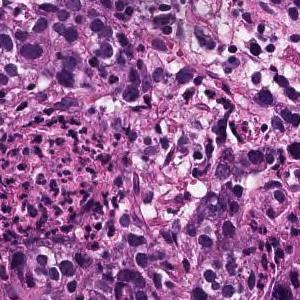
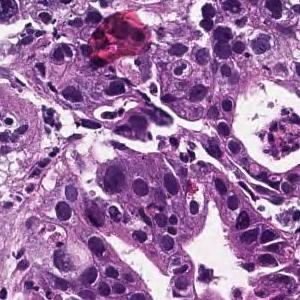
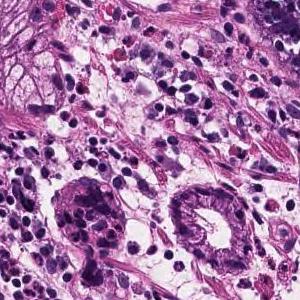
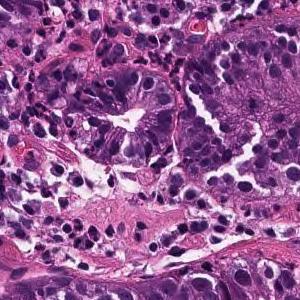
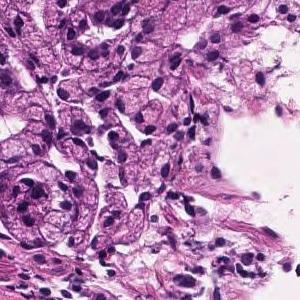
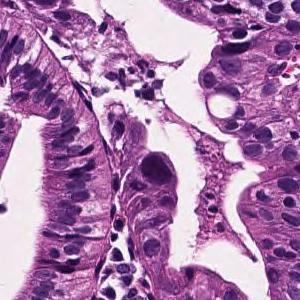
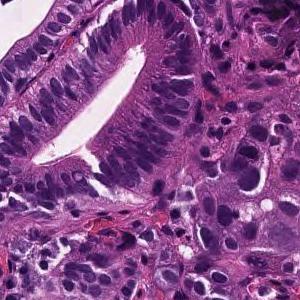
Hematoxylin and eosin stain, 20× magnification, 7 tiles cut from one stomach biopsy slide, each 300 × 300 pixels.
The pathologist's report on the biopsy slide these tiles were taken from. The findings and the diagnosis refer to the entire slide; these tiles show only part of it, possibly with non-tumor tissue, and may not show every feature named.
In the superficial epithelium, tumor tissue that invades by forming medium-sized to small, irregular ducts is observed. moderately differentiated tubular adenocarcinoma.
